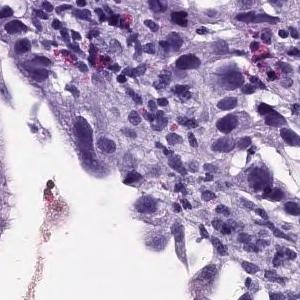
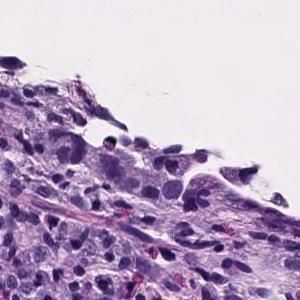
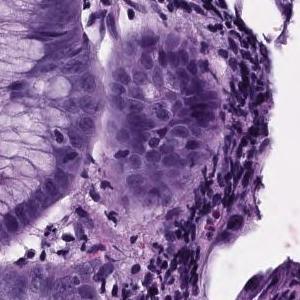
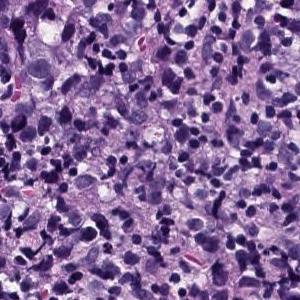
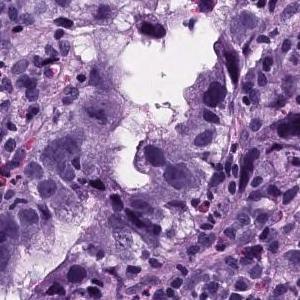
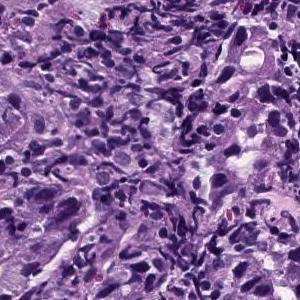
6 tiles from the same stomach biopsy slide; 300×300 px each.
Pathology report for the slide these tiles were cut from. Both the report and the diagnosis are for the whole slide: these tiles need not show every feature named, and some of the tissue shown may not be tumor.
Atypical epithelial cells infiltrating and proliferating while forming solid or cord-like fused glandular cavities of different sizes is observed. moderately differentiated tubular adenocarcinoma, poorly differentiated adenocarcinoma.
Tumor subtype: moderately to poorly differentiated adenocarcinoma.
